20× magnification · 9 tiles cut from one stomach biopsy slide · each 300 × 300 pixels.
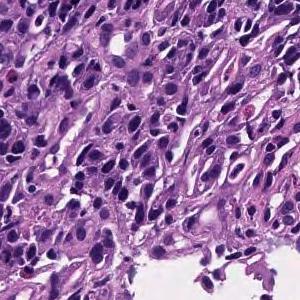
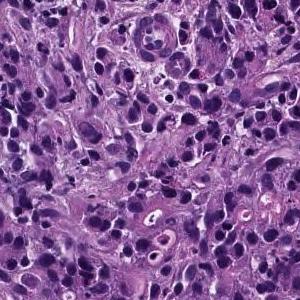
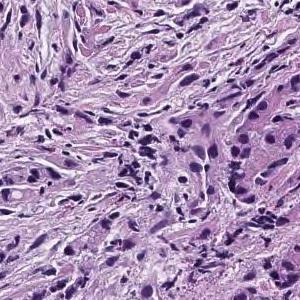
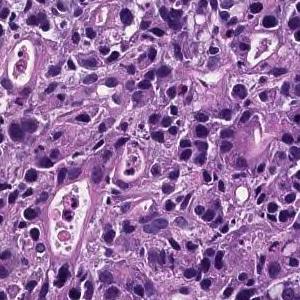
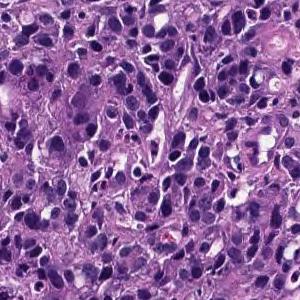
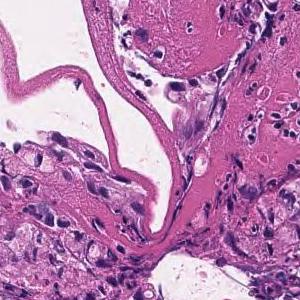
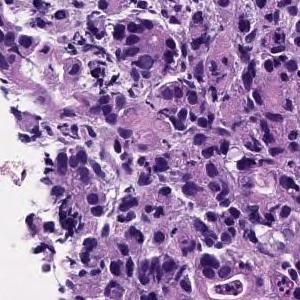
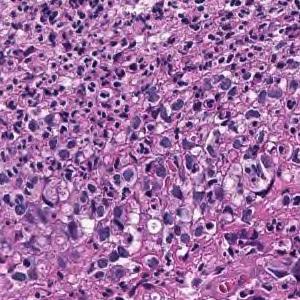
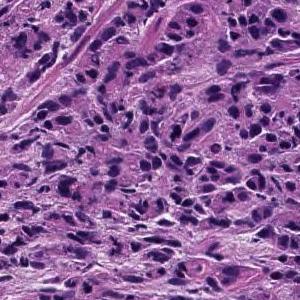
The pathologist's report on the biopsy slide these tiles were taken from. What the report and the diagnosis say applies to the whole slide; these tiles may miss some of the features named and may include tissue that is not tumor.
The superficial epithelium shows a large sheet-like shape, and some tumor tissue infiltrates with small irregular ducts. Poorly differentiated adenocarcinoma, solid-type
Histologic type: Poorly differentiated adenocarcinoma, solid type. This name comes from the Japanese Classification of Gastric Carcinoma; the WHO 2019 classification calls it tubular adenocarcinoma, poorly differentiated.
